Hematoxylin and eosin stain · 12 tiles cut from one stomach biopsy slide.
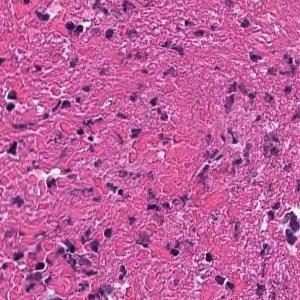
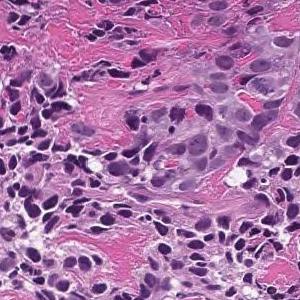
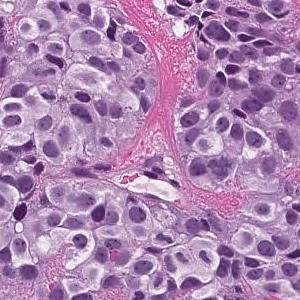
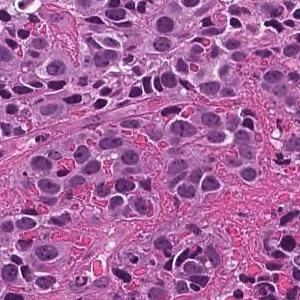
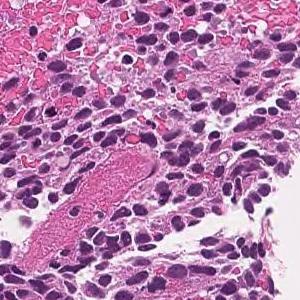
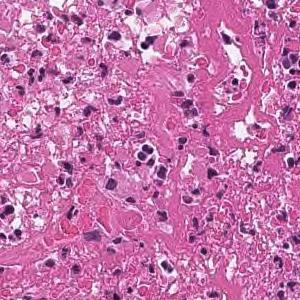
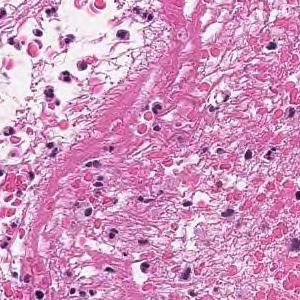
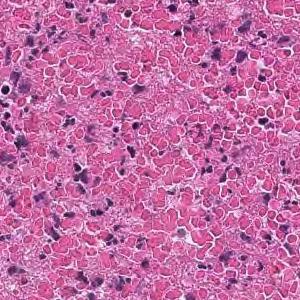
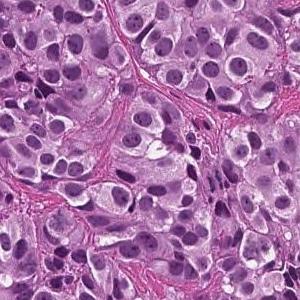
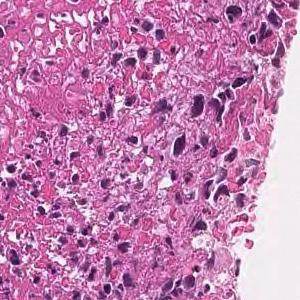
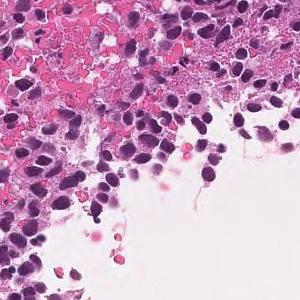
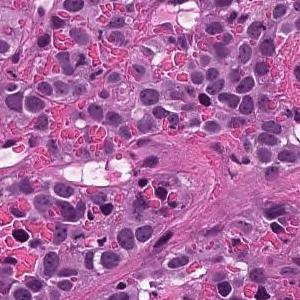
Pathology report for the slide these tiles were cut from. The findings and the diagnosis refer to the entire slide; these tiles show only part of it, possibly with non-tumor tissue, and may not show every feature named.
The superficial epithelium shows a large sheet-like shape, and some tumor tissue infiltrates with small irregular ducts. Poorly differentiated adenocarcinoma, solid-type
Classified as poorly differentiated adenocarcinoma, solid type, a category of the Japanese Classification of Gastric Carcinoma; in the WHO 2019 classification it is tubular adenocarcinoma, poorly differentiated.
